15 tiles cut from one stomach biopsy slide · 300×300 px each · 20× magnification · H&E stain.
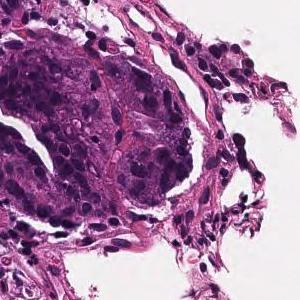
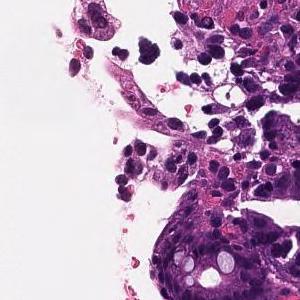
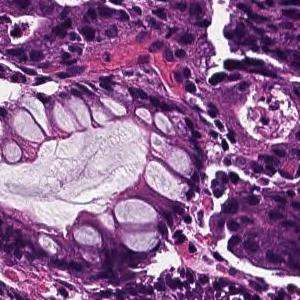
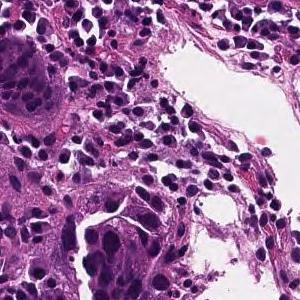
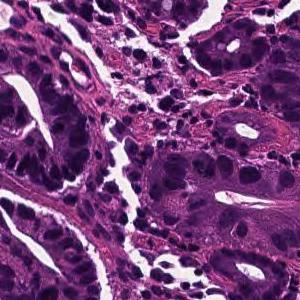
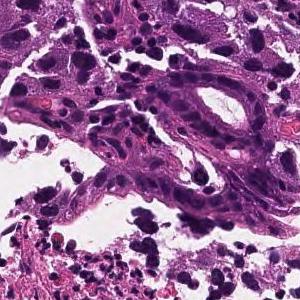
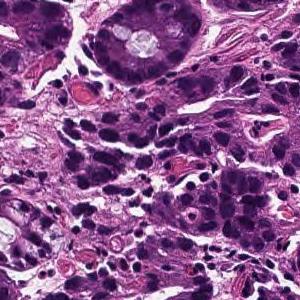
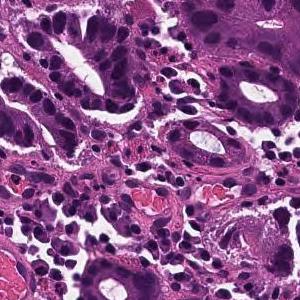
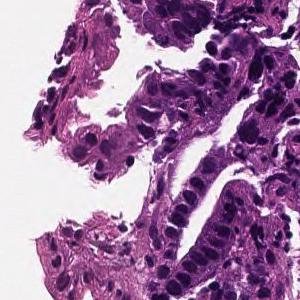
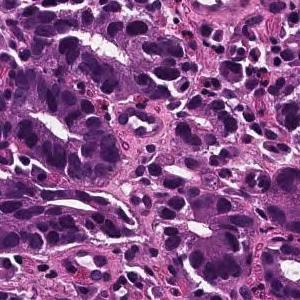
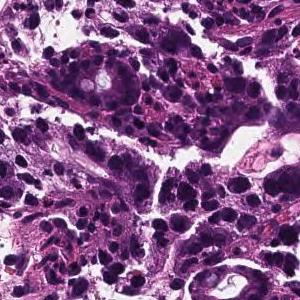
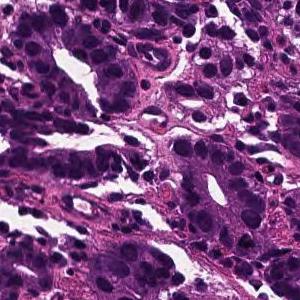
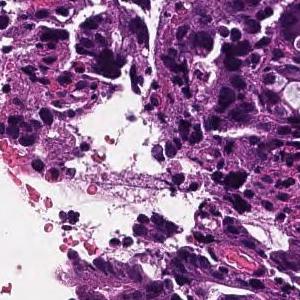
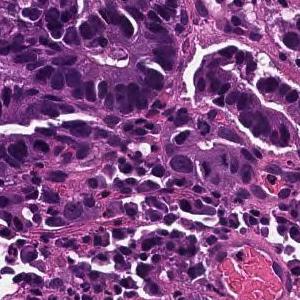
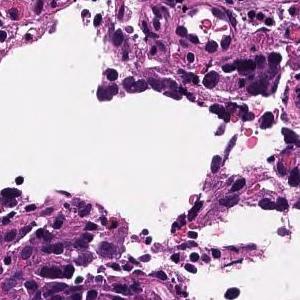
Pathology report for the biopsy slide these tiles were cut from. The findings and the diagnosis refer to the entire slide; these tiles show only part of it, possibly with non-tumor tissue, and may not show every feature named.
In the superficial epithelium, tumor tissue that invades by forming medium-sized to small, irregular ducts is observed. moderately differentiated tubular adenocarcinoma.
